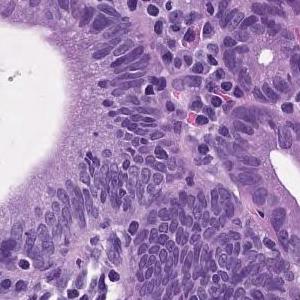
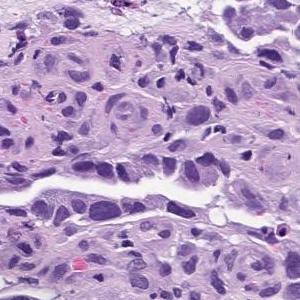
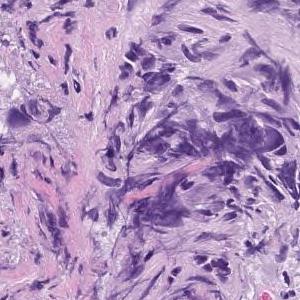
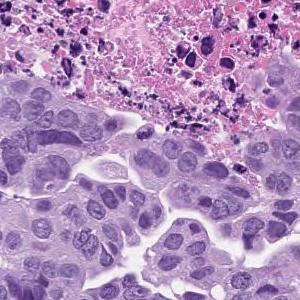
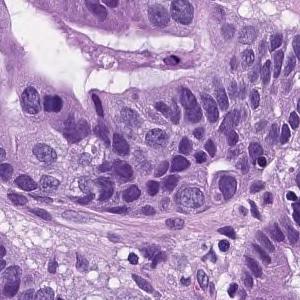
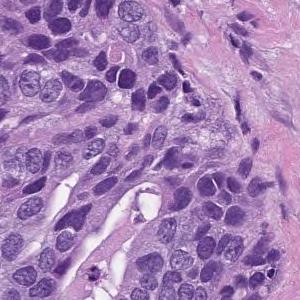
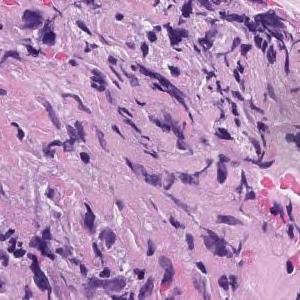
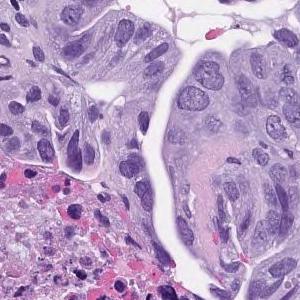
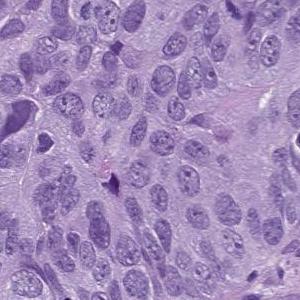
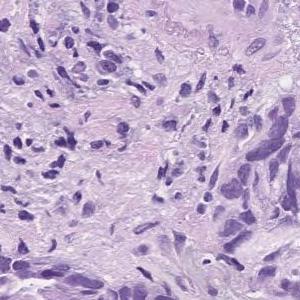
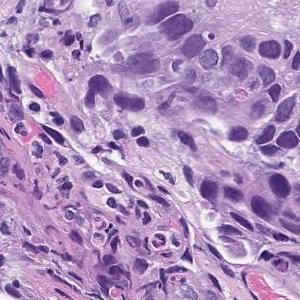
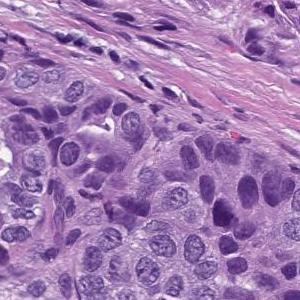
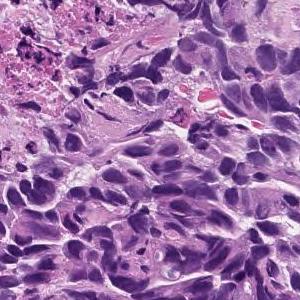
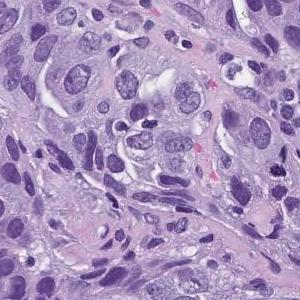
Hematoxylin and eosin stain · ×20 · 14 tiles cut from one stomach biopsy slide · 300×300 px each.
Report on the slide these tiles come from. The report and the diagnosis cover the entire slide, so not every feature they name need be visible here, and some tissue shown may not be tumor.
In the superficial epithelium, tumor tissue that invades by forming medium-sized to small, irregular ducts is observed. moderately differentiated tubular adenocarcinoma.
